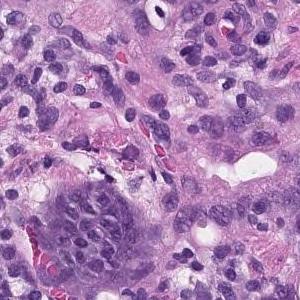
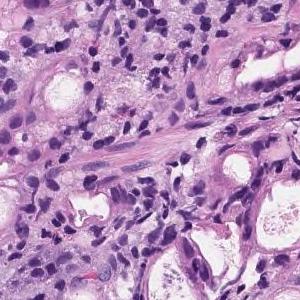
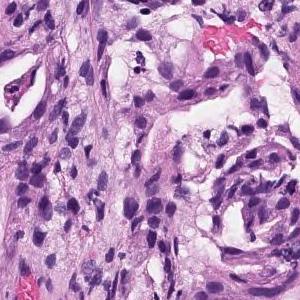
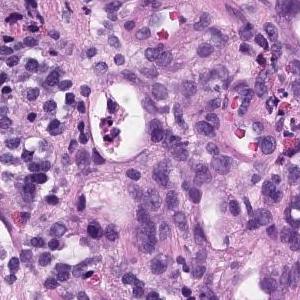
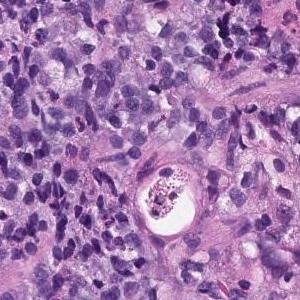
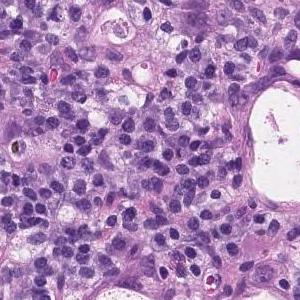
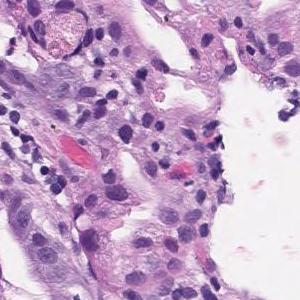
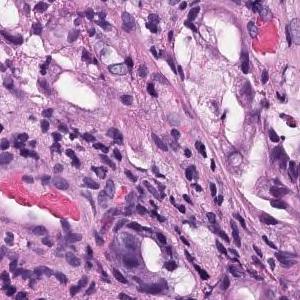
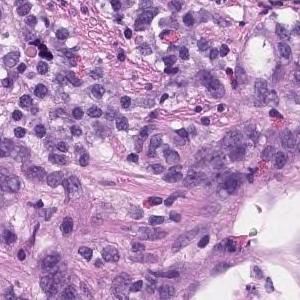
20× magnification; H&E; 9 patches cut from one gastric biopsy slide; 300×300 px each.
Diagnostic report for the slide these tiles come from. The report and the diagnosis describe the slide as a whole, so these tiles may not show every feature named and may include non-tumor tissue.
In the superficial epithelium, tumor tissue that invades by forming medium-sized to small, irregular ducts is observed. Moderately differentiated adenocarcinoma.
Classified as moderately differentiated tubular adenocarcinoma.
